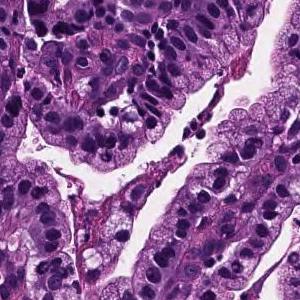
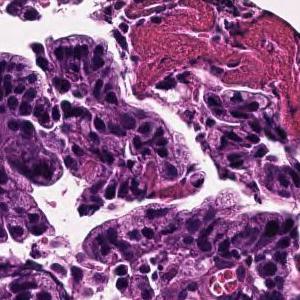
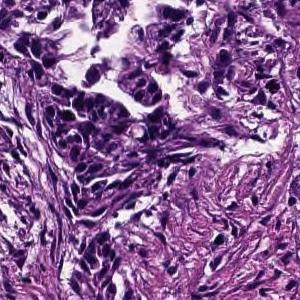
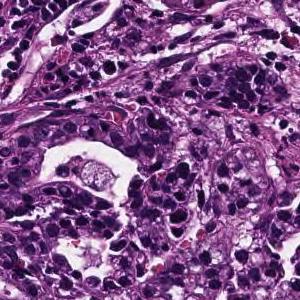
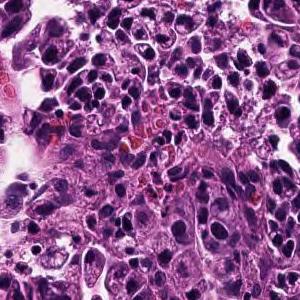
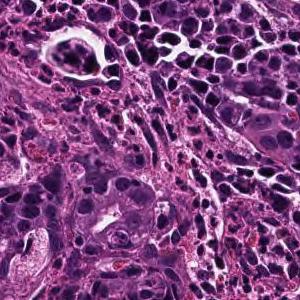
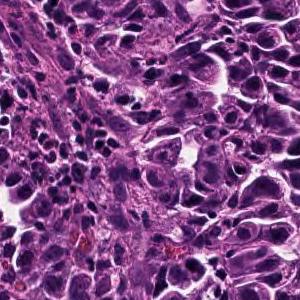
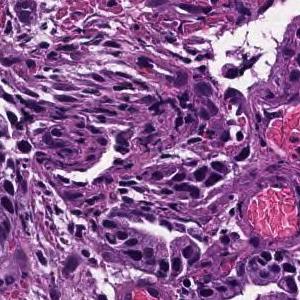
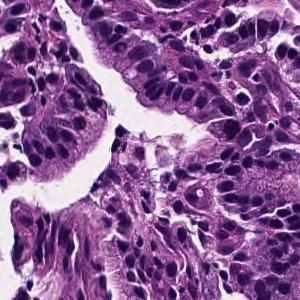
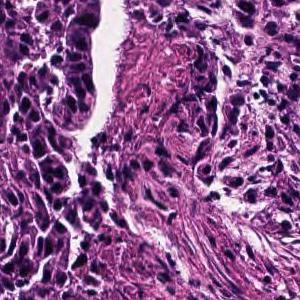
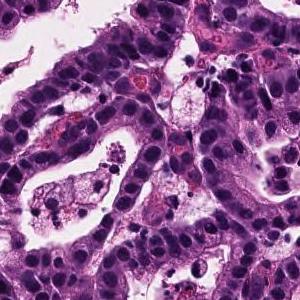
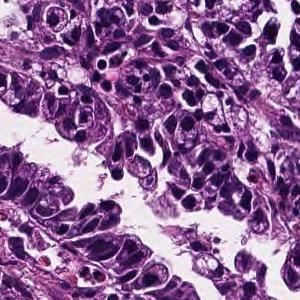
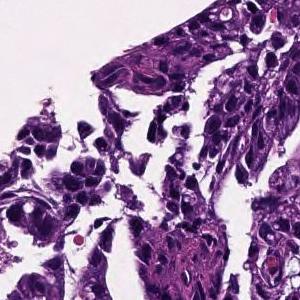
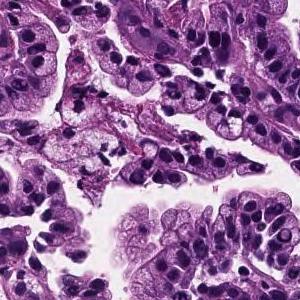
20× magnification; H&E; 14 tiles cut from one stomach biopsy slide.
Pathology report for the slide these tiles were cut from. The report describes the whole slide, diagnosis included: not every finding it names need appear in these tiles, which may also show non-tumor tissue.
Tumor cells are large, highly columnar, large club-shaped nuclei, and are associated with chromatin aggregation. Papillary adenocarcinoma.
